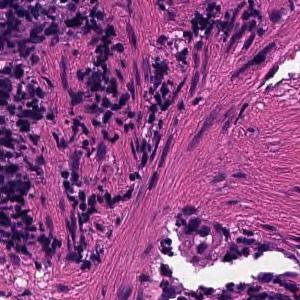
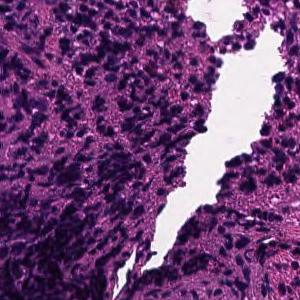
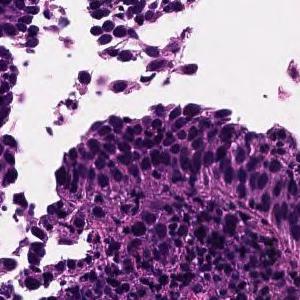
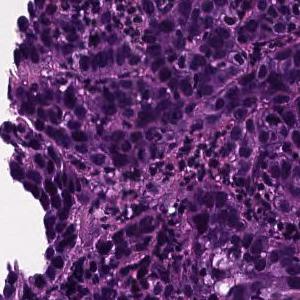
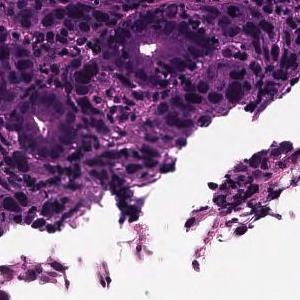
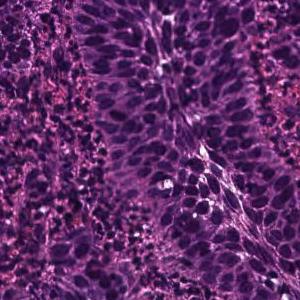
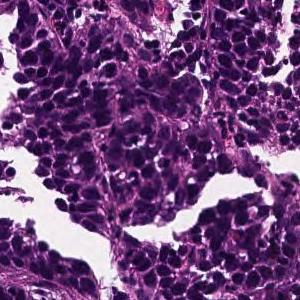
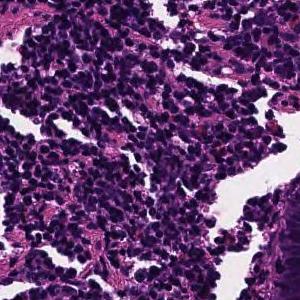
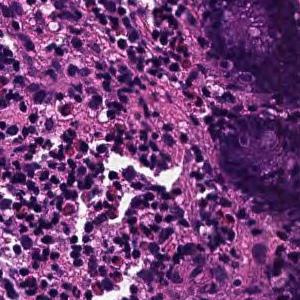
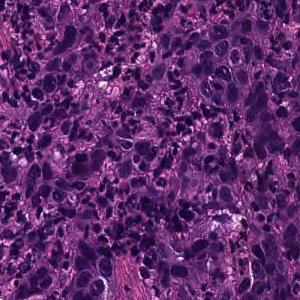
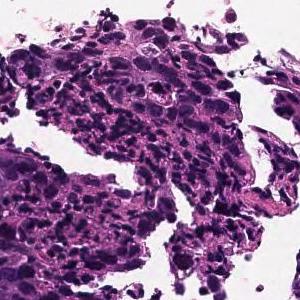
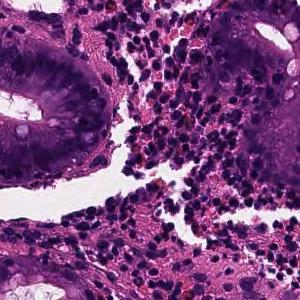
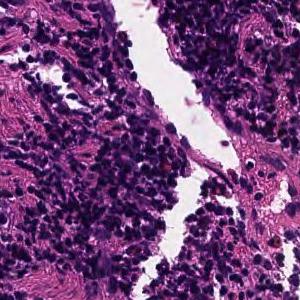
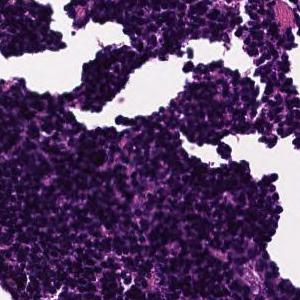
14 image tiles from a single gastric biopsy slide, each 300 × 300 pixels, 20× magnification, hematoxylin and eosin stain.
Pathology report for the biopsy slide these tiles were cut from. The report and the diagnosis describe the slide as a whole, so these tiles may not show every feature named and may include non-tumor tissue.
Tumor tissue consisting of cord-like or small, irregular glandular ducts fused and infiltrated is observed in the superficial epithelium. Poorly differentiated adenocarcinoma, non-solid type
The term "non-solid type" comes from the Japanese Classification of Gastric Carcinoma.
